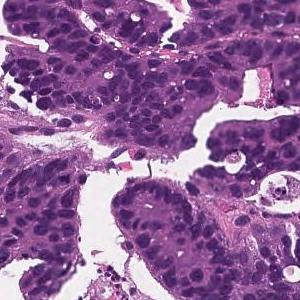
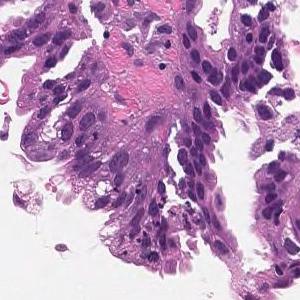
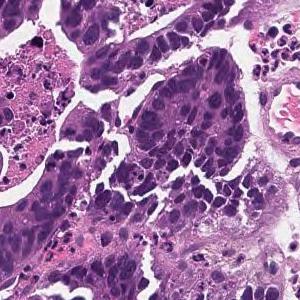
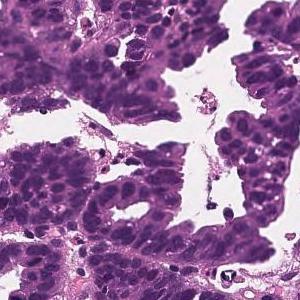
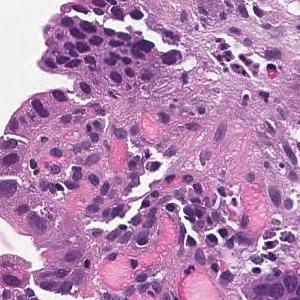
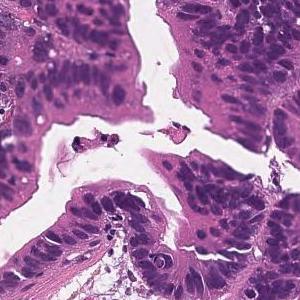
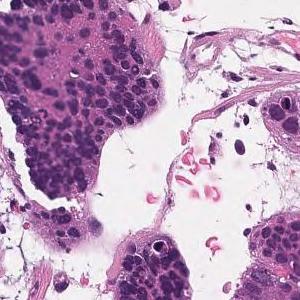
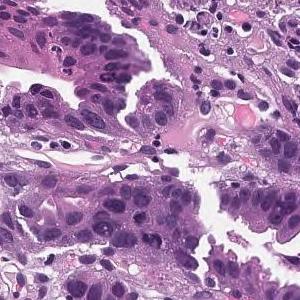
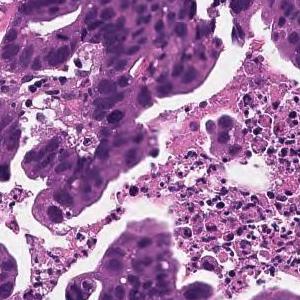
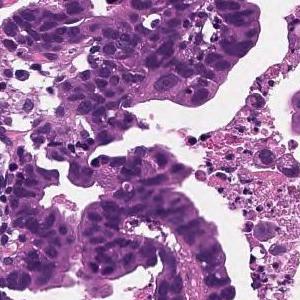
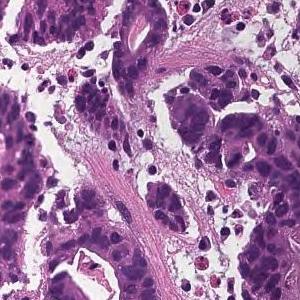
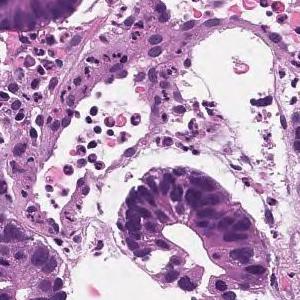
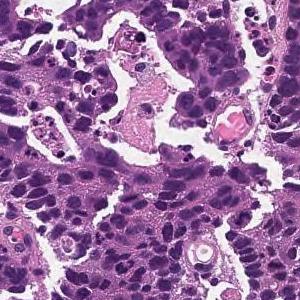
13 patches cut from one gastric biopsy slide · 300×300 px each.
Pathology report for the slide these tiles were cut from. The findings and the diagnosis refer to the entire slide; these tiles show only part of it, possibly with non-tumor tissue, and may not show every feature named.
In the superficial epithelium, tumor tissue that invades by forming medium-sized to small, irregular ducts is observed. moderately differentiated tubular adenocarcinoma.
